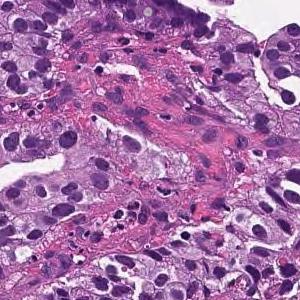
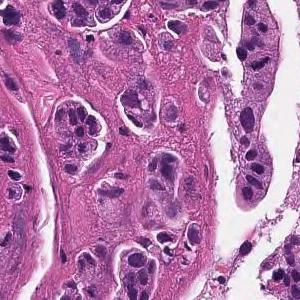
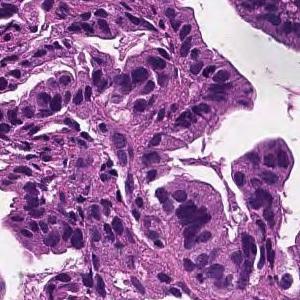
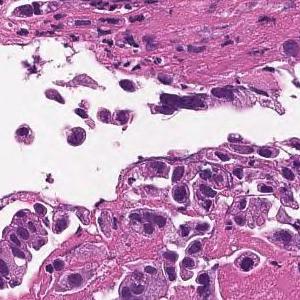
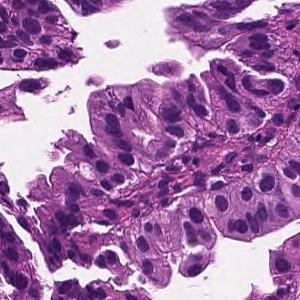
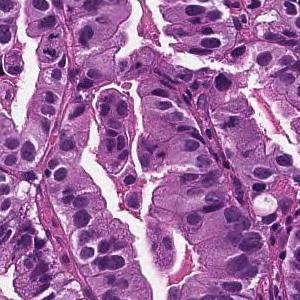
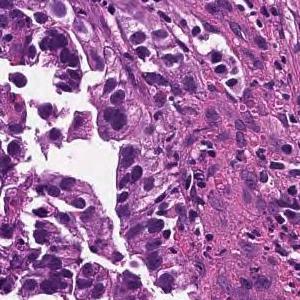
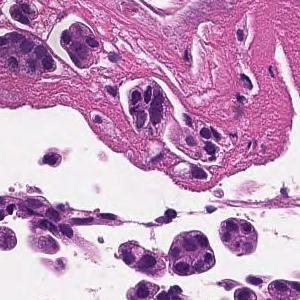
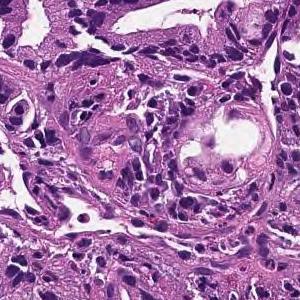
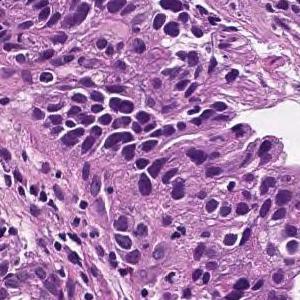
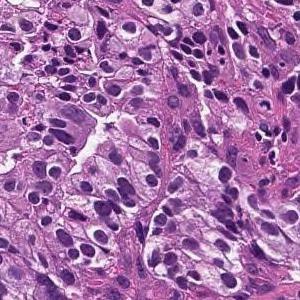
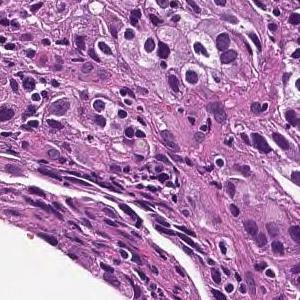
×20; 12 tiles cut from one stomach biopsy slide; each 300 × 300 pixels.
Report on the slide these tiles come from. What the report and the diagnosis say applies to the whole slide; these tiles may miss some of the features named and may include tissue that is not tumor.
Medium to small, irregular glandular ducts are formed in the superficial epithelium, and in some cases, the glandular ducts are fused to show solid alveolar lesions and infiltrating tumor tissue is observed. Moderately to poorly differentiated adenocarcinoma.
